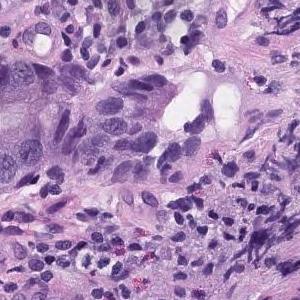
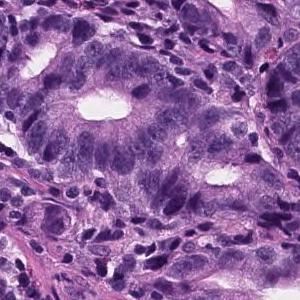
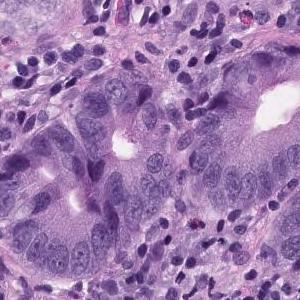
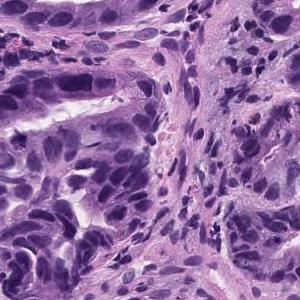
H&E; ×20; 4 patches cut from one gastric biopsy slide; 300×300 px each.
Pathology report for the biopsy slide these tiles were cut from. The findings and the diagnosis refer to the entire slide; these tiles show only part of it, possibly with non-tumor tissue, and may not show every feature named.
Tumor tissue consisting of medium-sized and irregular ducts is observed infiltrating in the superficial epithelium. Tumor cells are highly columnar, with nuclei aligned basolaterally and polarized. Well differentiated tubular adenocarcinoma.
